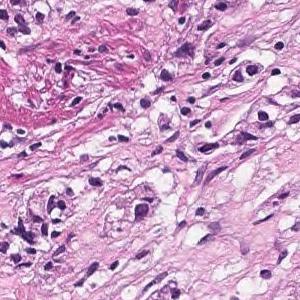
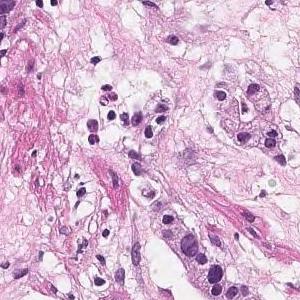
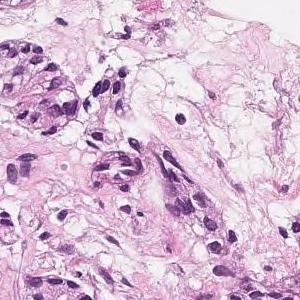
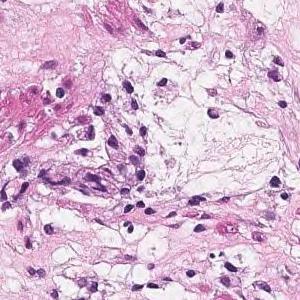
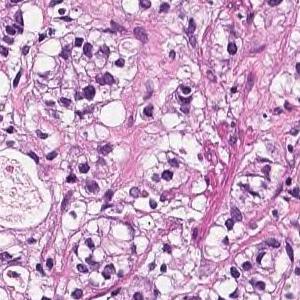
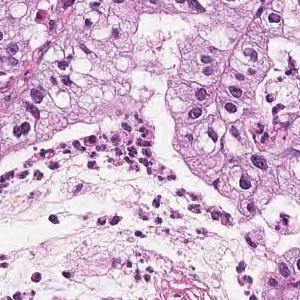
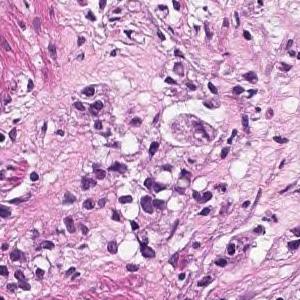
7 patches cut from one gastric biopsy slide; 20× magnification; hematoxylin and eosin stain.
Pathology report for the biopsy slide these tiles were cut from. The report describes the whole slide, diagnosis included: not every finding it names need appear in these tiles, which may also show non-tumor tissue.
In the superficial epithelium, tumor tissue that invades by forming medium-sized to small, irregular ducts is observed. moderately differentiated tubular adenocarcinoma.
